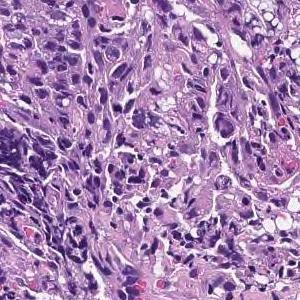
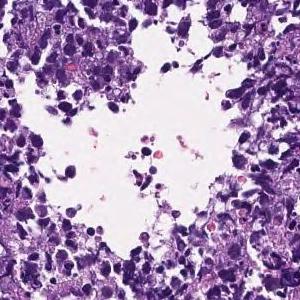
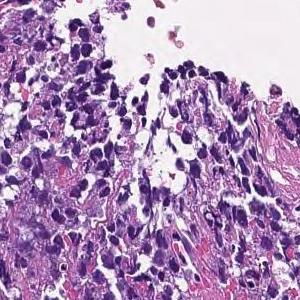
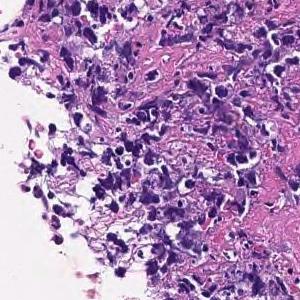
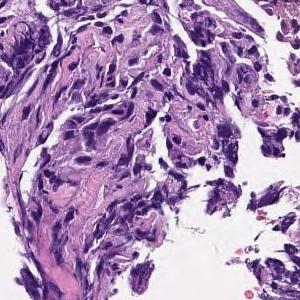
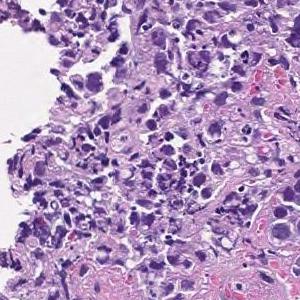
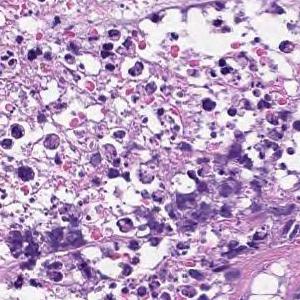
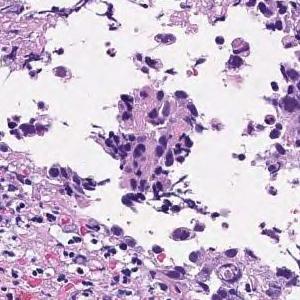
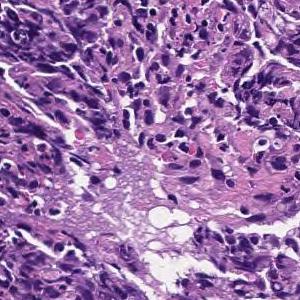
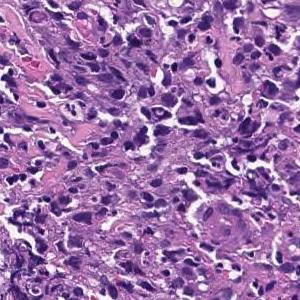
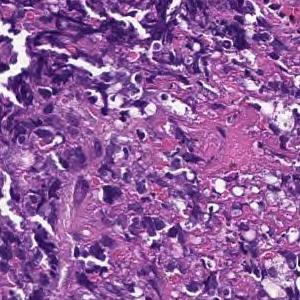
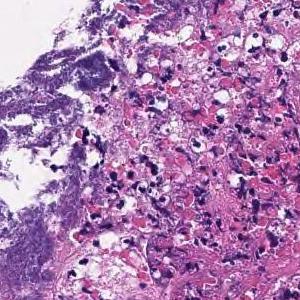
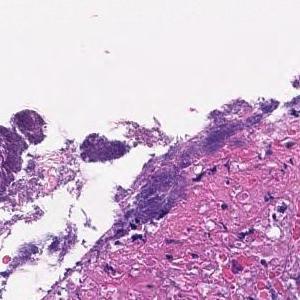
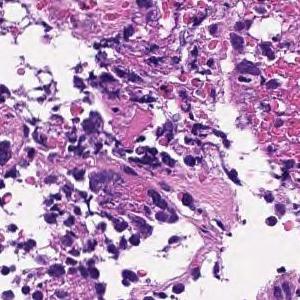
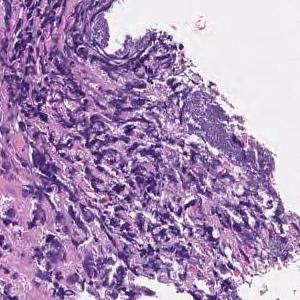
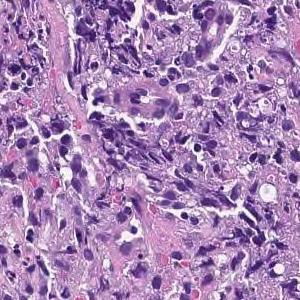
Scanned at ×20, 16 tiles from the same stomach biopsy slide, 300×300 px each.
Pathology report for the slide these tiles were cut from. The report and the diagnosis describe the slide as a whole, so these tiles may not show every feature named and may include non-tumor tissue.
Most are composed of coagulative necrotic tissue, but some show a large sheet-like shape, and some show tumor tissue infiltrating with a small cord-like structure. Poorly differentiated adenocarcinoma, solid-type
Subtype: Poorly differentiated adenocarcinoma, solid type (Japanese Classification of Gastric Carcinoma). The WHO 2019 equivalent is tubular adenocarcinoma, poorly differentiated.
